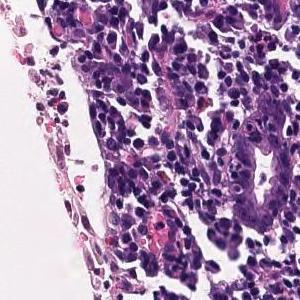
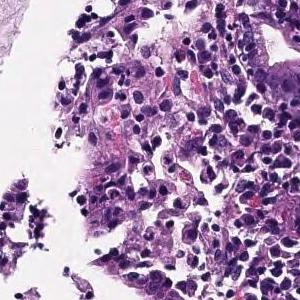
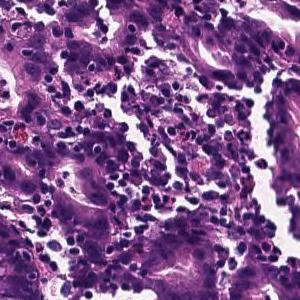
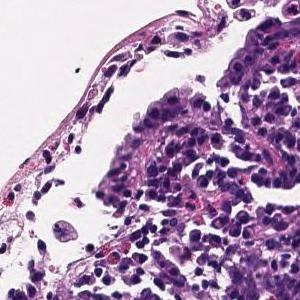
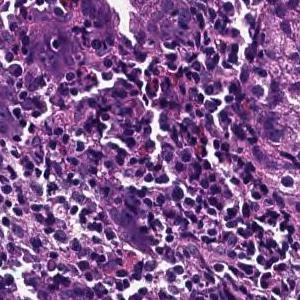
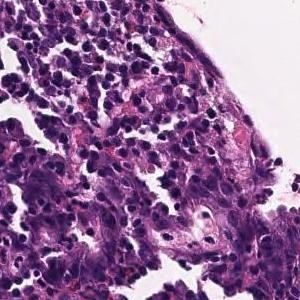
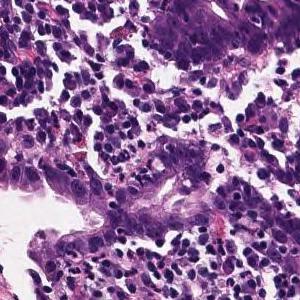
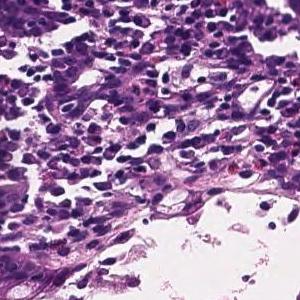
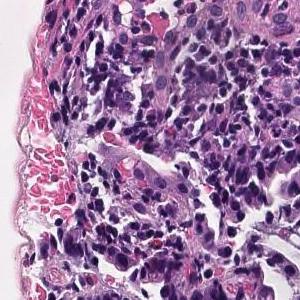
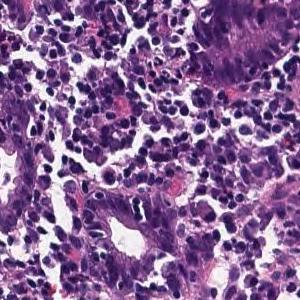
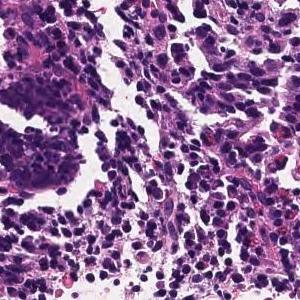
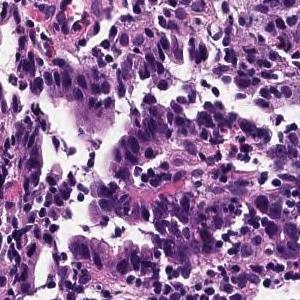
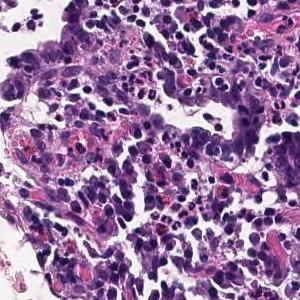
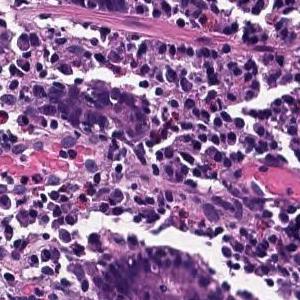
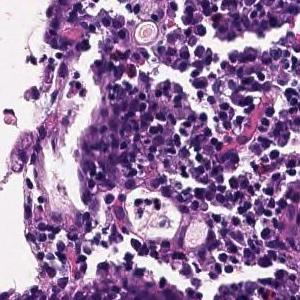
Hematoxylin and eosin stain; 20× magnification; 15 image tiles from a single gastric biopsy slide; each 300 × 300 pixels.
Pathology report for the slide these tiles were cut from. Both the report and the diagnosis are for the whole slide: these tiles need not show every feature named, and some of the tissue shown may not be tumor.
Tumor tissue consisting of medium-sized, cord-like or irregular glandular infiltration is observed in the superficial epithelium. Poorly differentiated adenocarcinoma, non-solid type or moderately differentiated tubular adenocarcinoma
Tumor subtype: moderately to poorly differentiated adenocarcinoma.
"Non-solid type" is a category of the Japanese Classification of Gastric Carcinoma.
